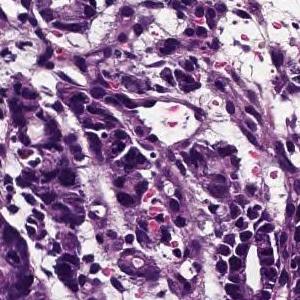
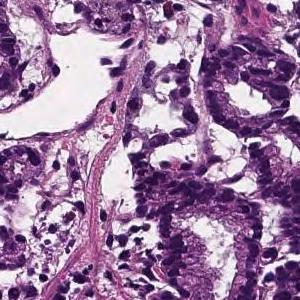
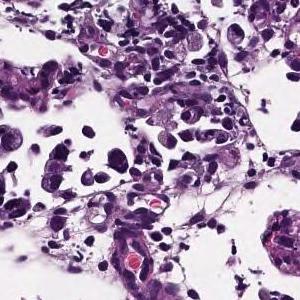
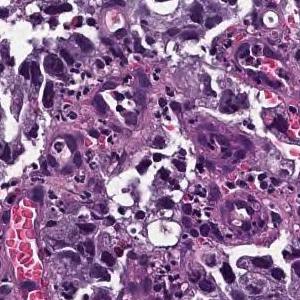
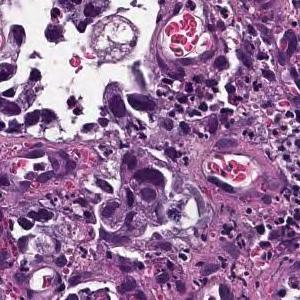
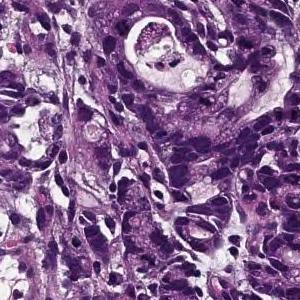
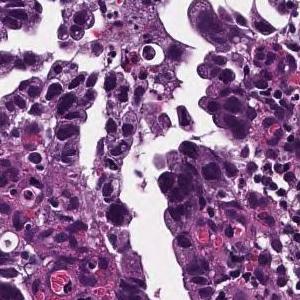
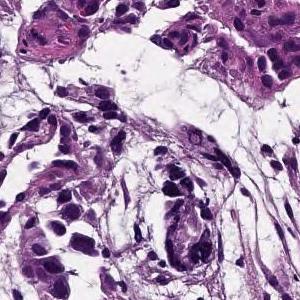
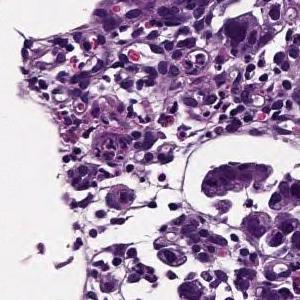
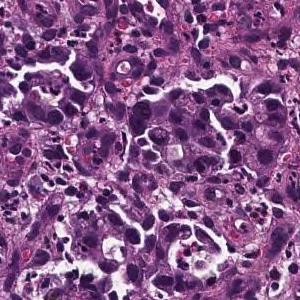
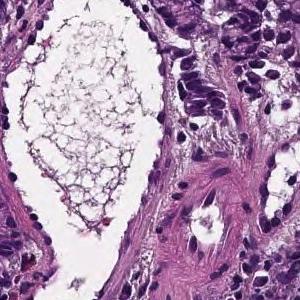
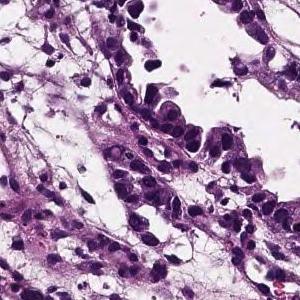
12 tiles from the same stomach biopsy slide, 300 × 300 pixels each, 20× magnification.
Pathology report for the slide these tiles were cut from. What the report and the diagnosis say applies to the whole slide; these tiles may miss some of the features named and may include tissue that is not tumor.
Medium to small, irregular glandular ducts are formed in the superficial epithelium, and in some cases, the glandular ducts are fused to show solid alveolar lesions and infiltrating tumor tissue is observed. Moderately to poorly differentiated adenocarcinoma.
